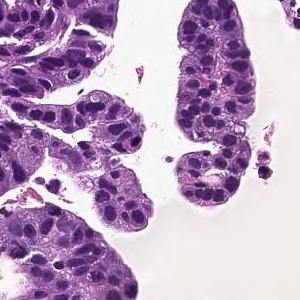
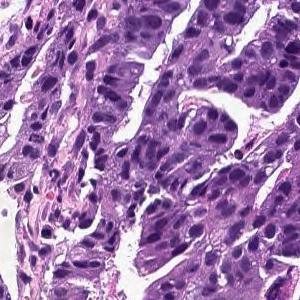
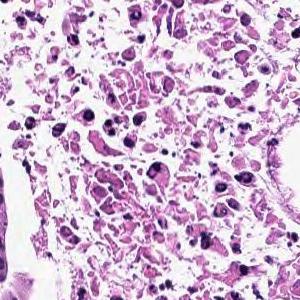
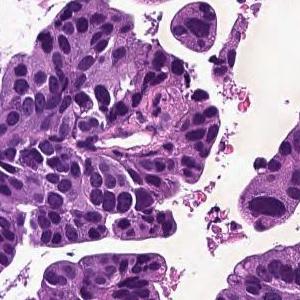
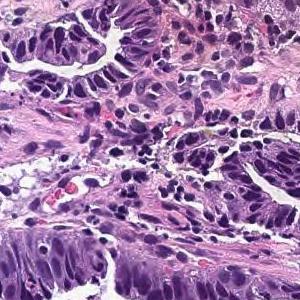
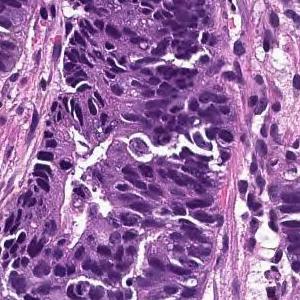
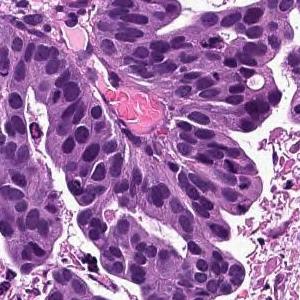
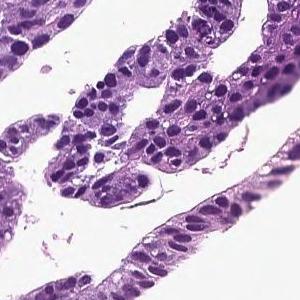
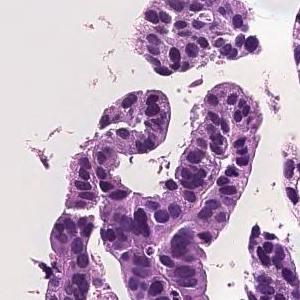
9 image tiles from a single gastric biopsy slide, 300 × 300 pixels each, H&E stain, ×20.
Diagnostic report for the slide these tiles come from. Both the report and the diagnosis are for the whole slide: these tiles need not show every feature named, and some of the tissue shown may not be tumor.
Tumor cells are large, highly columnar, large club-shaped nuclei, and are associated with chromatin aggregation. Papillary adenocarcinoma.
